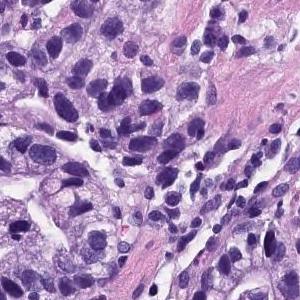
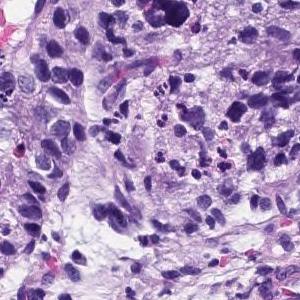
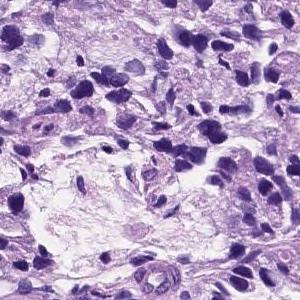
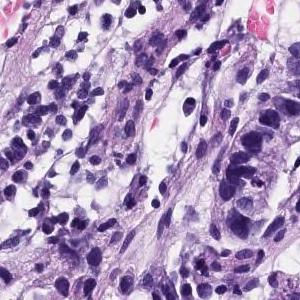
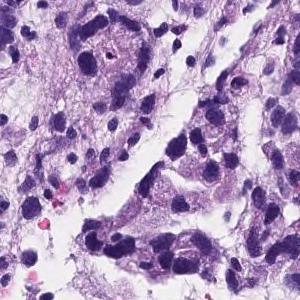
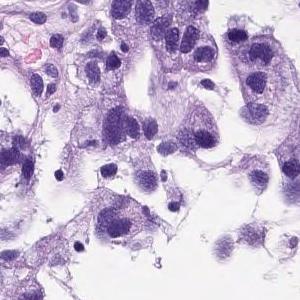
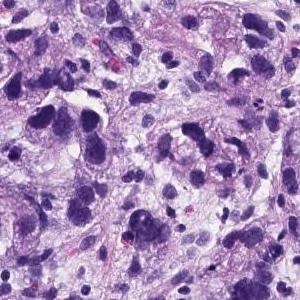
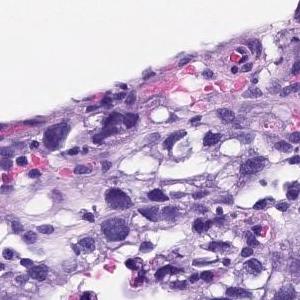
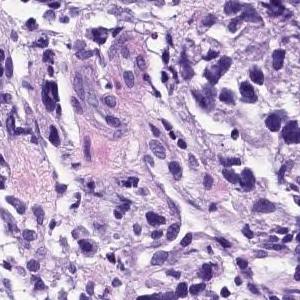
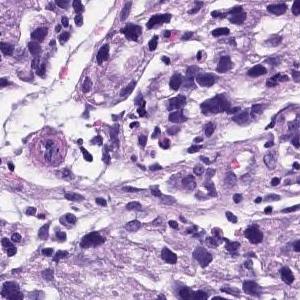
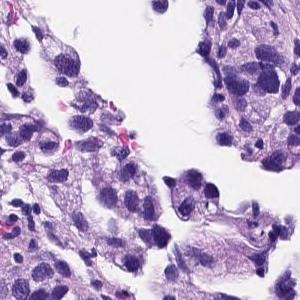
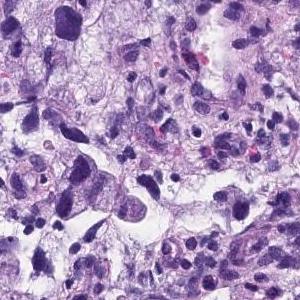
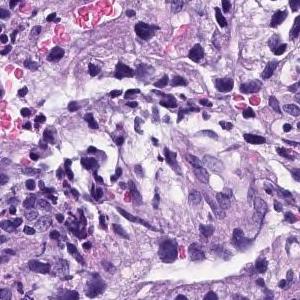
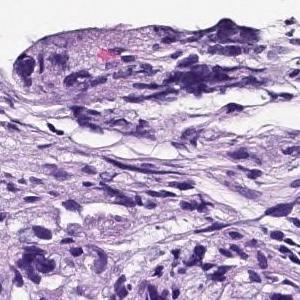
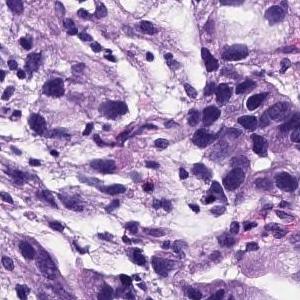
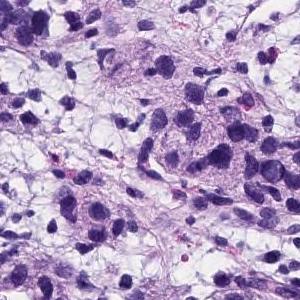
16 tiles from the same stomach biopsy slide · H&E stain.
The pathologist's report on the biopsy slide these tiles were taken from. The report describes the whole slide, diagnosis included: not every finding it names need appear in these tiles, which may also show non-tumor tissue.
Medium to small, irregular glandular ducts are formed in the superficial epithelium, and in some cases, the glandular ducts are fused to show solid alveolar lesions and infiltrating tumor tissue is observed. Poorly differentiated adenocarcinoma, Moderately differentiated adenocarcinoma.
Dataset label: moderately differentiated tubular adenocarcinoma.
